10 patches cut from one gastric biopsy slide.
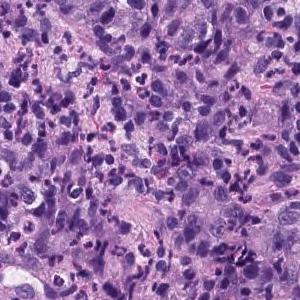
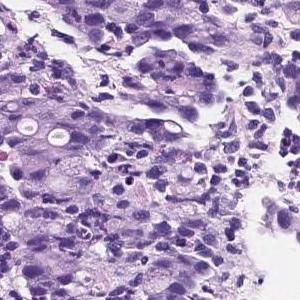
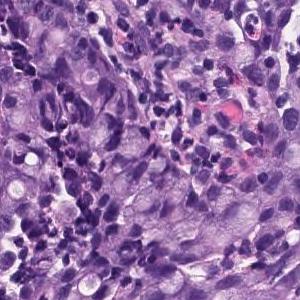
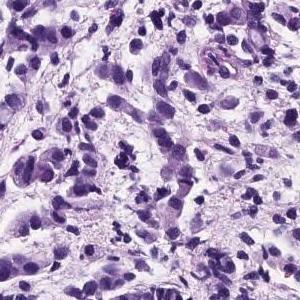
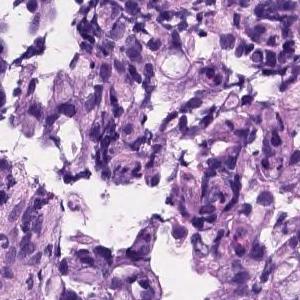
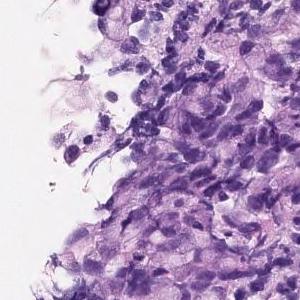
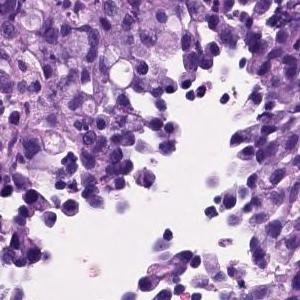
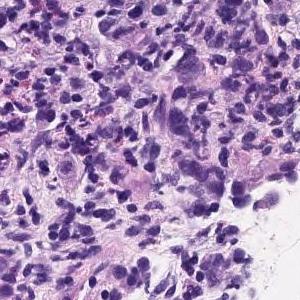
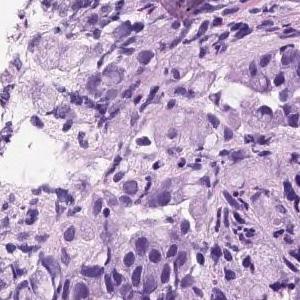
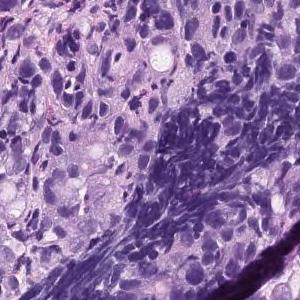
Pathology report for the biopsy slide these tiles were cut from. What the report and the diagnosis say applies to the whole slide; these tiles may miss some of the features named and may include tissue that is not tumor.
Diffusely growing signet-ring cells are found in the lamina propria. Signet ring cell carcinoma.
